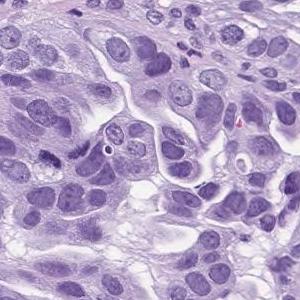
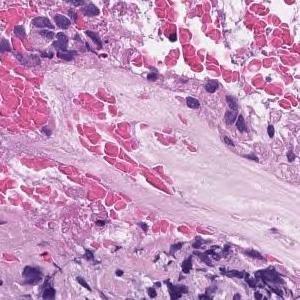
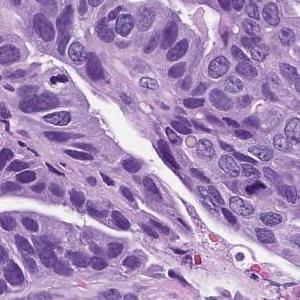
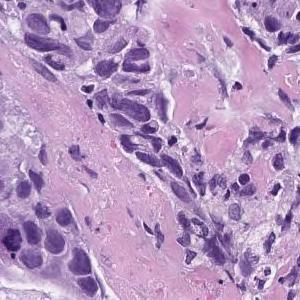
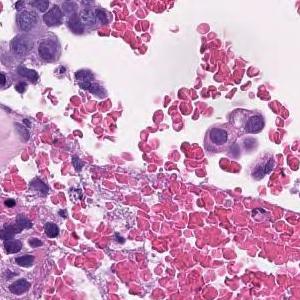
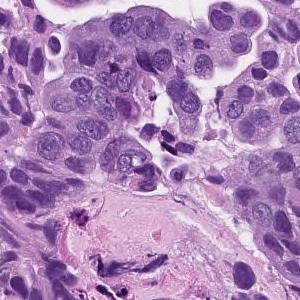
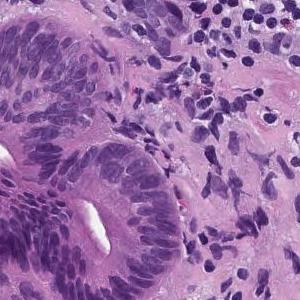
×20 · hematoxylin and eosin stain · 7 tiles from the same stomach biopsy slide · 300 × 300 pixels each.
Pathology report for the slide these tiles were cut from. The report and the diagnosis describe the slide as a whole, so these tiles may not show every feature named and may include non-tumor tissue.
In the superficial epithelium, tumor tissue that invades by forming medium-sized to small, irregular ducts is observed. moderately differentiated tubular adenocarcinoma.
